20× magnification; H&E; 10 patches cut from one gastric biopsy slide.
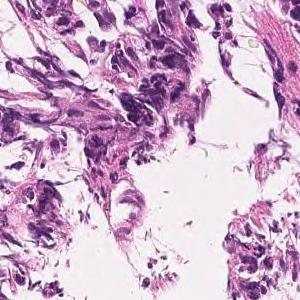
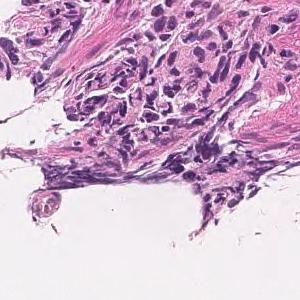
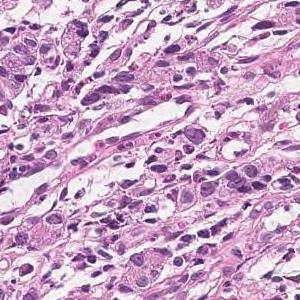
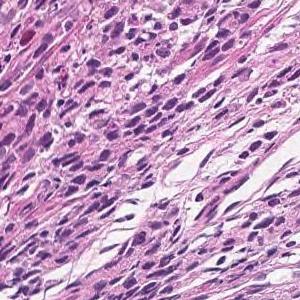
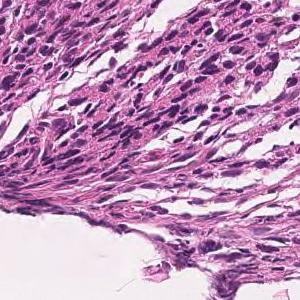
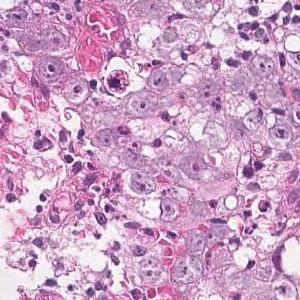
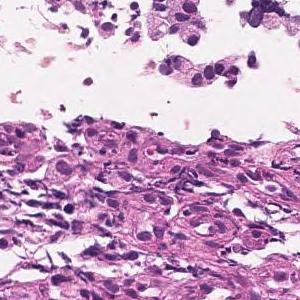
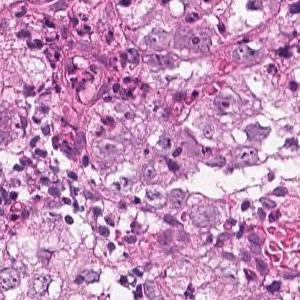
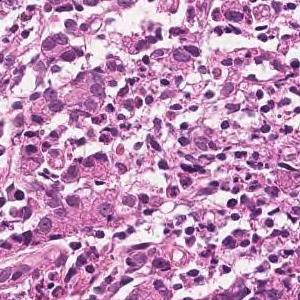
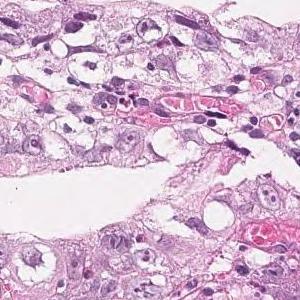
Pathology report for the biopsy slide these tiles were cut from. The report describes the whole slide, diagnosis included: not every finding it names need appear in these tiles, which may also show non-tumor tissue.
In the superficial epithelium, medium to small, irregular glandular ducts are formed, and in some parts, the glandular ducts are fused, and in other parts, small cord-like infiltrating tumor tissue is observed. Moderately to poorly differentiated adenocarcinoma.
